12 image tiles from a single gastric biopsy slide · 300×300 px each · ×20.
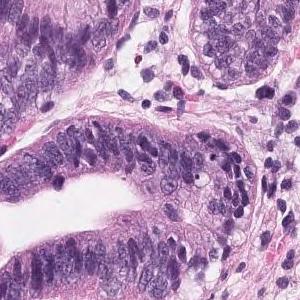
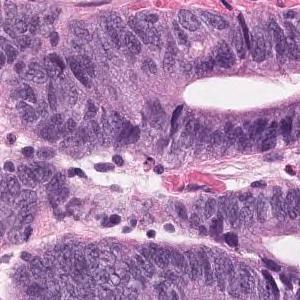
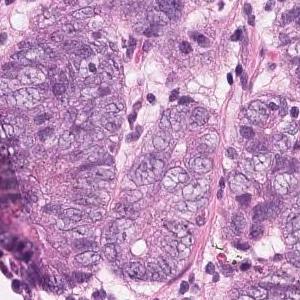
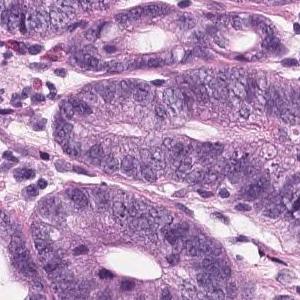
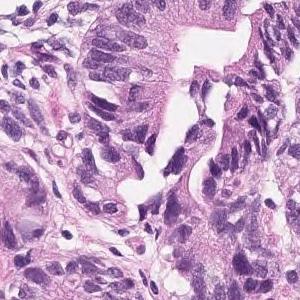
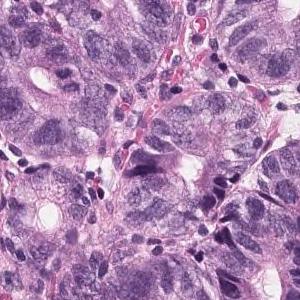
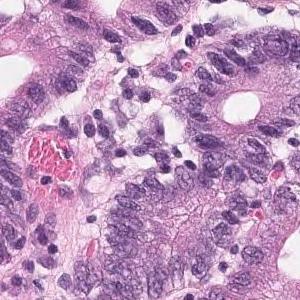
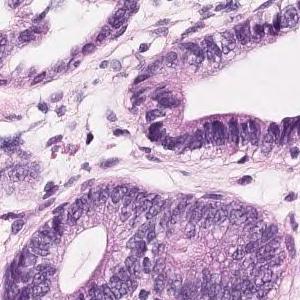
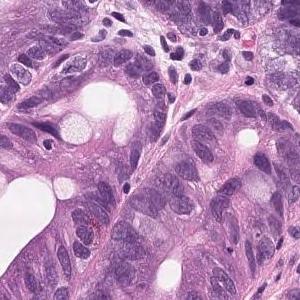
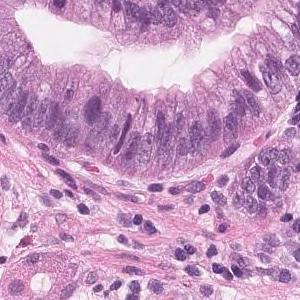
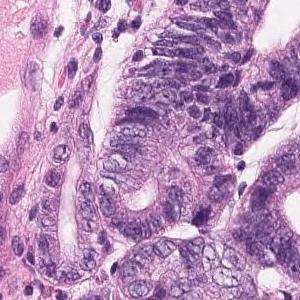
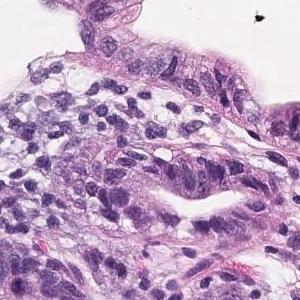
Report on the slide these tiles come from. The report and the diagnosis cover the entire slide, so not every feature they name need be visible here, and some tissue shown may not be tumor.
Atypical ducts with severe atypia are densely populated in the superficial epithelium, and tumor tissue with hyperplasia is observed. Well differentiated tubular adenocarcinoma
